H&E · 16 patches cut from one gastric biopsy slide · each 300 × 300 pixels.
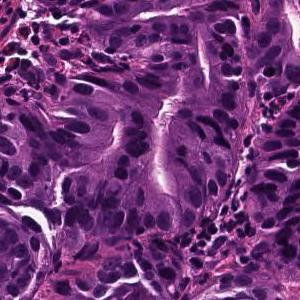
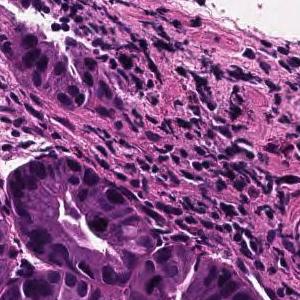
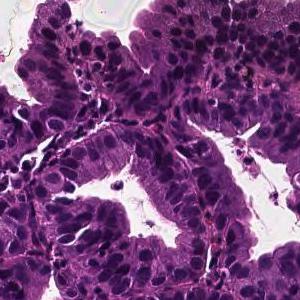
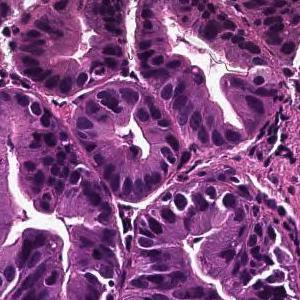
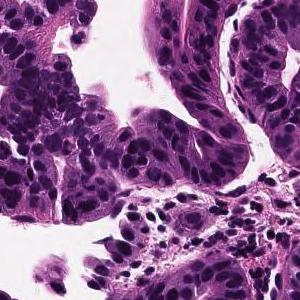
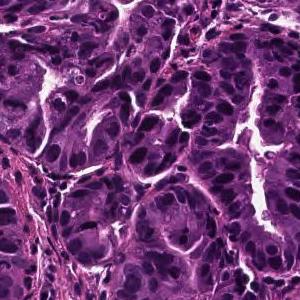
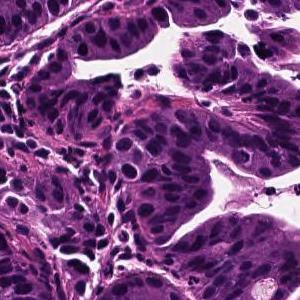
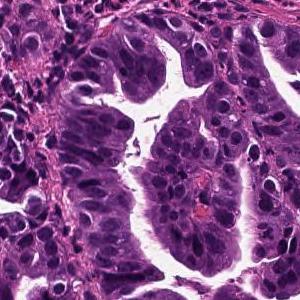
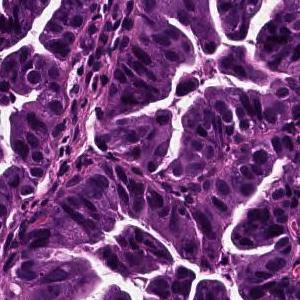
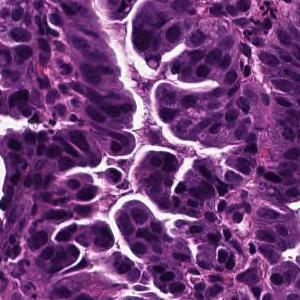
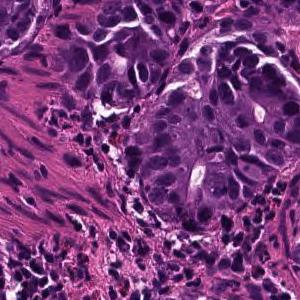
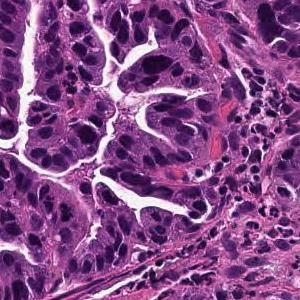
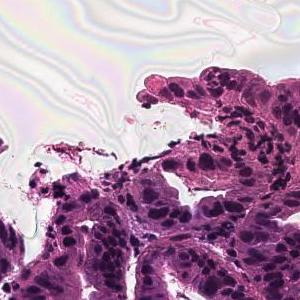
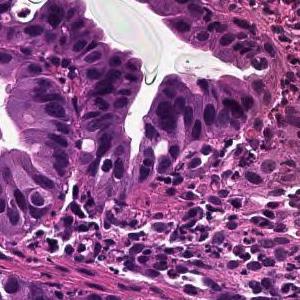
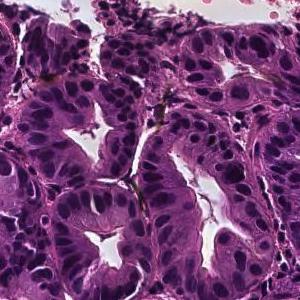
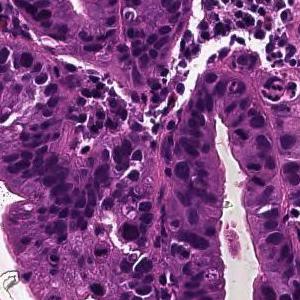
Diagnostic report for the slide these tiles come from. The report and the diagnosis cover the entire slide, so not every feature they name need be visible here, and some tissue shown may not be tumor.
Tumor cells are large, highly columnar, large club-shaped nuclei, and are associated with chromatin aggregation. Papillary adenocarcinoma.
